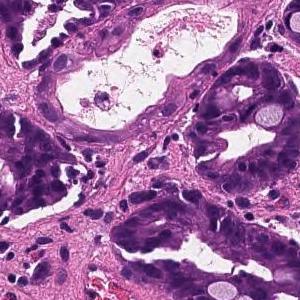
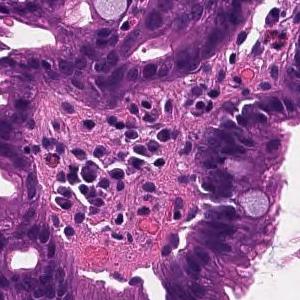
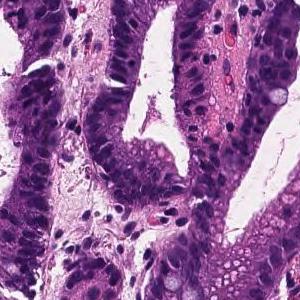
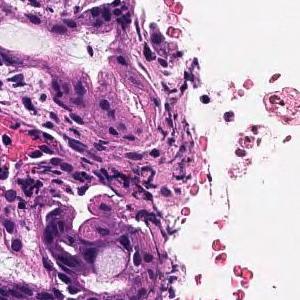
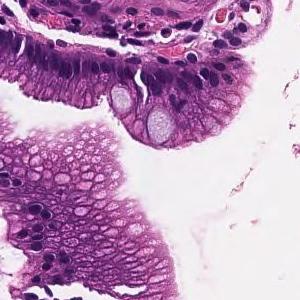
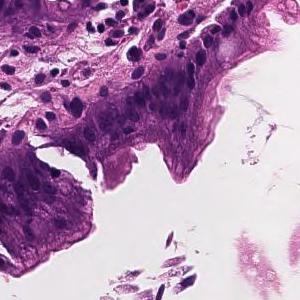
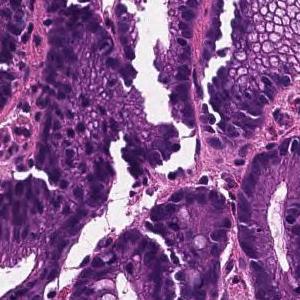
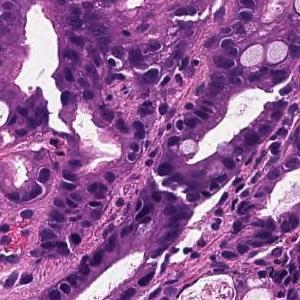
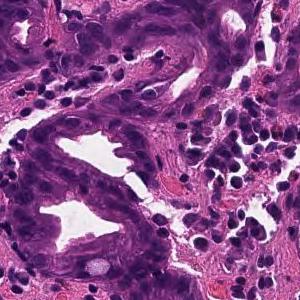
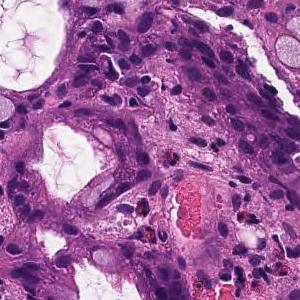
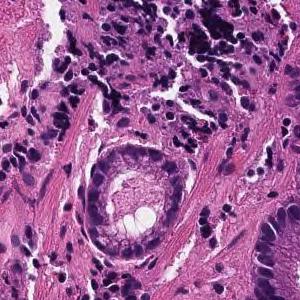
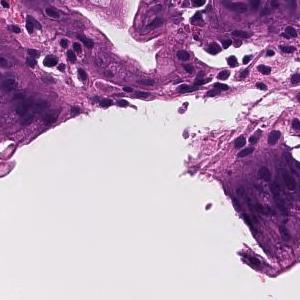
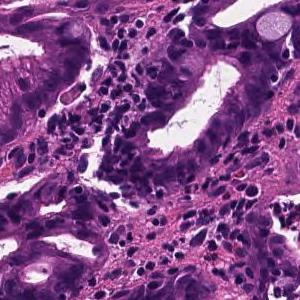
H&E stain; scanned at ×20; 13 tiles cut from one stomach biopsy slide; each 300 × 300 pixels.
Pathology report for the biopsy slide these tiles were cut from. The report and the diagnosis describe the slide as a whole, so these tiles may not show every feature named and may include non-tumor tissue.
From the superficial epithelium to the muscularis mucosae, tumor tissue consisting of medium-sized and irregular glandular ducts infiltrating is observed. Well differentiated tubular adenocarcinoma
